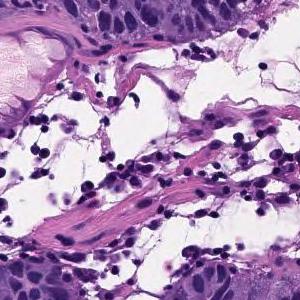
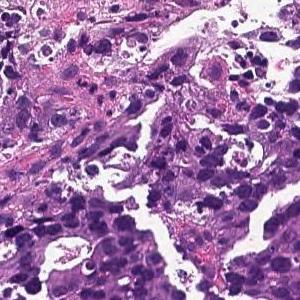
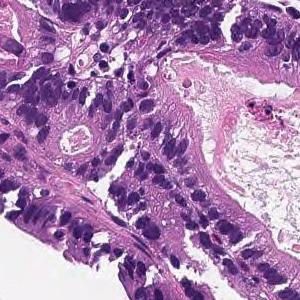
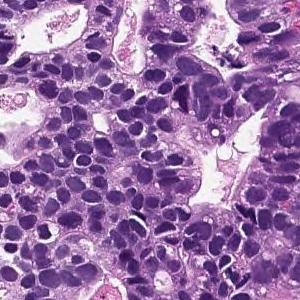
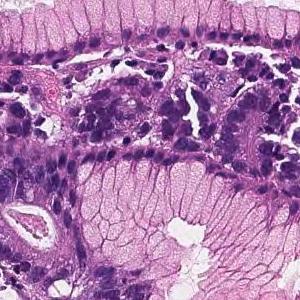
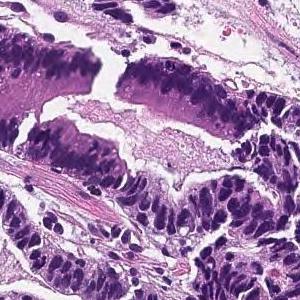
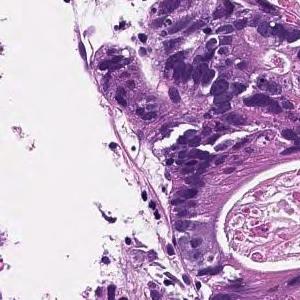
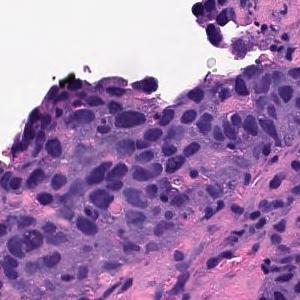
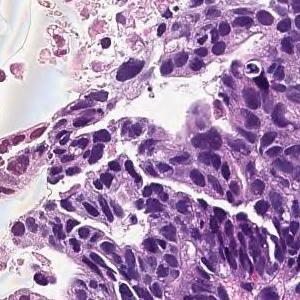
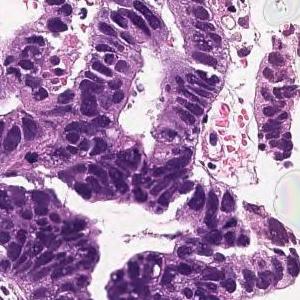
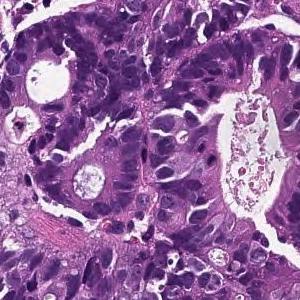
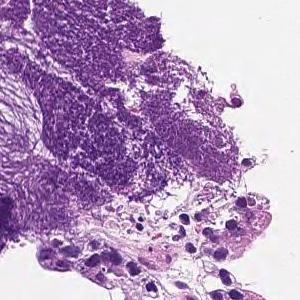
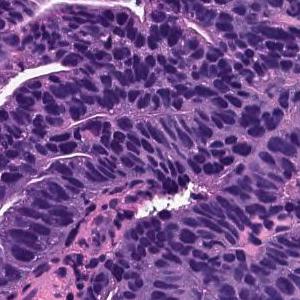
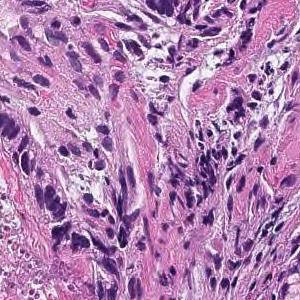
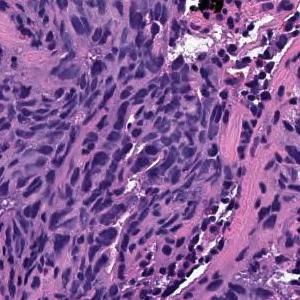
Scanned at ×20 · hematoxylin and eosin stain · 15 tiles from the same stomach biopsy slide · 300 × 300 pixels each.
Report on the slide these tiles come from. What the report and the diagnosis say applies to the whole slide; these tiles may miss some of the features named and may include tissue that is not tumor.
In the superficial epithelium, tumor tissue that invades by forming medium-sized to small, irregular ducts is observed. moderately differentiated tubular adenocarcinoma.
